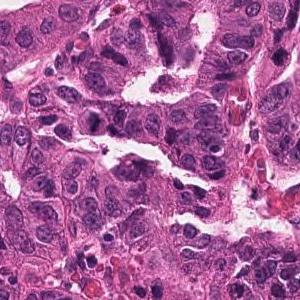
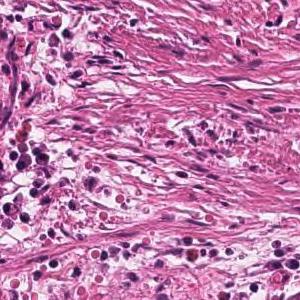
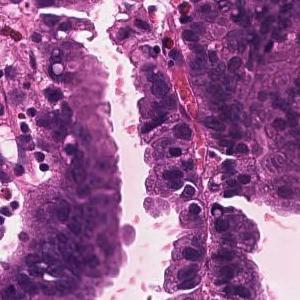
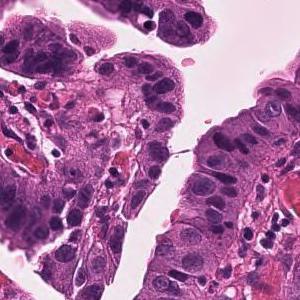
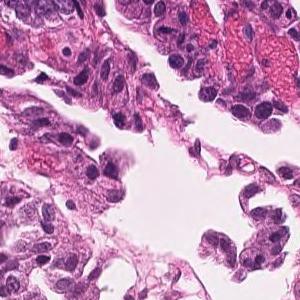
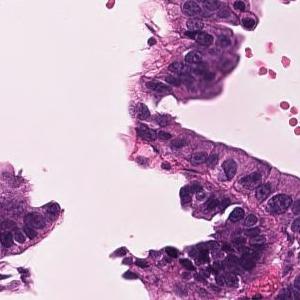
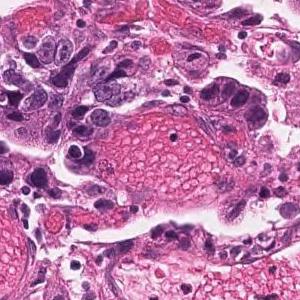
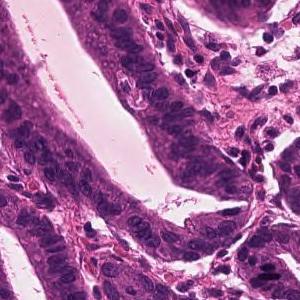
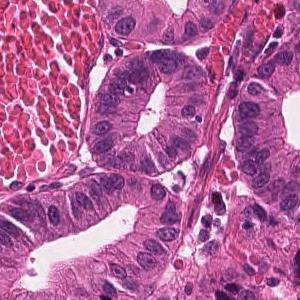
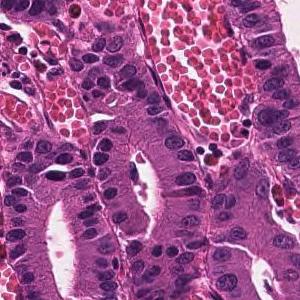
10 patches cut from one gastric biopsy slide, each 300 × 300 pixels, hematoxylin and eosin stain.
The pathologist's report on the biopsy slide these tiles were taken from. The report describes the whole slide, diagnosis included: not every finding it names need appear in these tiles, which may also show non-tumor tissue.
Infiltrating tumor tissue with medium-sized, irregular ductal structure or large papillary appearance is observed. Well differentiated tubular adenocarcinoma
